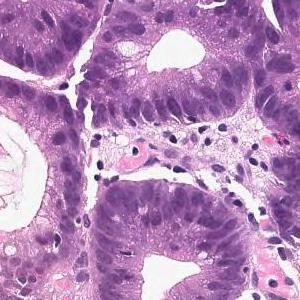
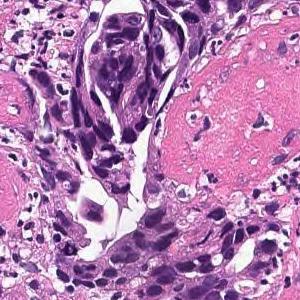
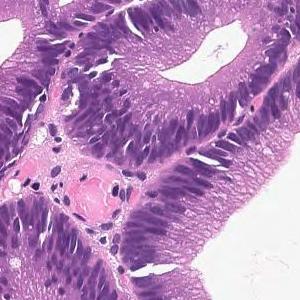
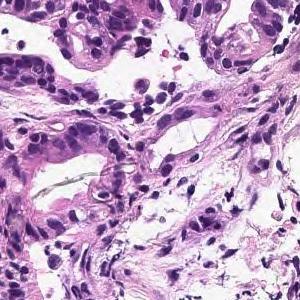
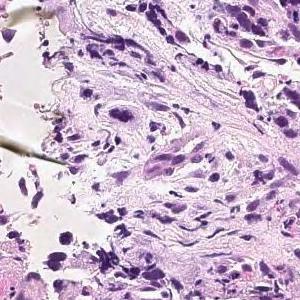
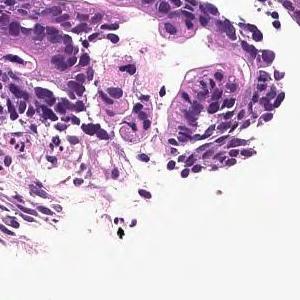
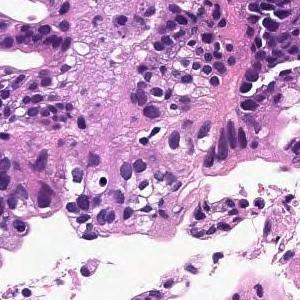
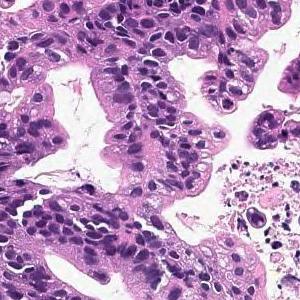
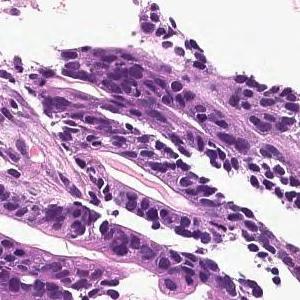
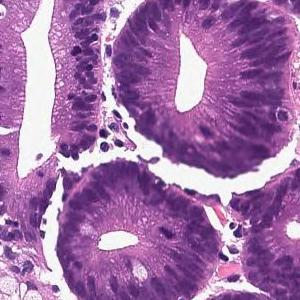
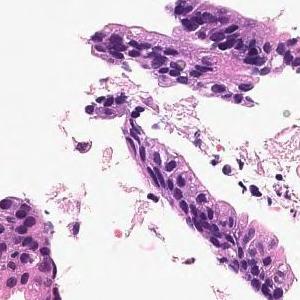
11 image tiles from a single gastric biopsy slide, 300×300 px each, hematoxylin and eosin stain.
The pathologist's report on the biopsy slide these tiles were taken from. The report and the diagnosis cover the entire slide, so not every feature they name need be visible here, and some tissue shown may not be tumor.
In the superficial epithelium, tumor tissue that invades by forming medium-sized to small, irregular ducts is observed. moderately differentiated tubular adenocarcinoma.
